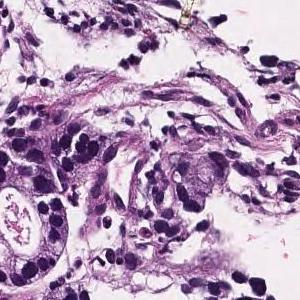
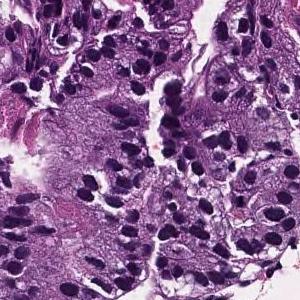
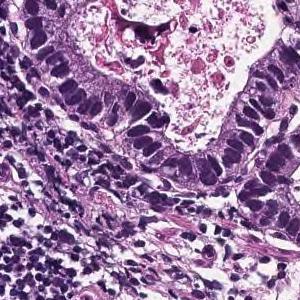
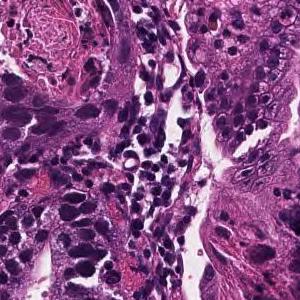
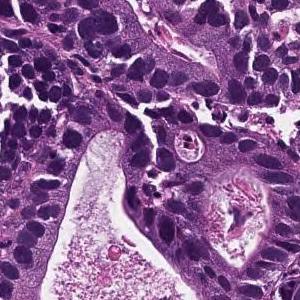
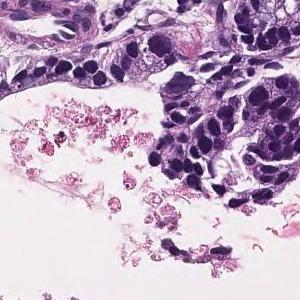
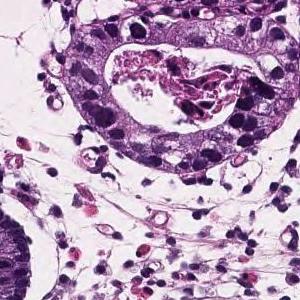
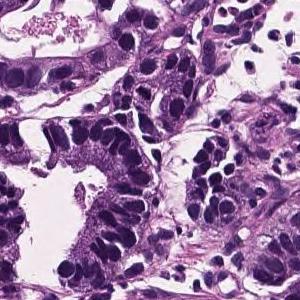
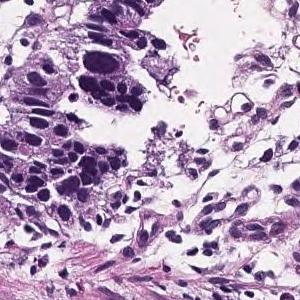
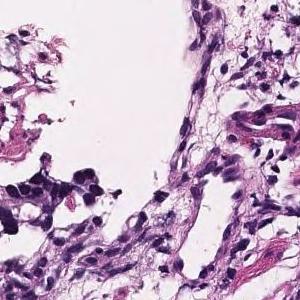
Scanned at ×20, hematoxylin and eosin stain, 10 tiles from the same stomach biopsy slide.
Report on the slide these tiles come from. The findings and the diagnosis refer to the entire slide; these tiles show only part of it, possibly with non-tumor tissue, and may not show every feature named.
In the superficial epithelium, tumor tissue that invades by forming medium-sized to small, irregular ducts is observed. Well differentiated tubular adenocarcinoma.
